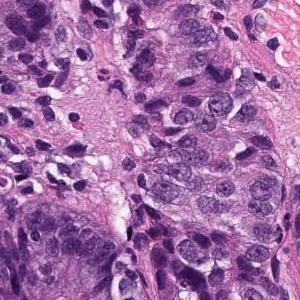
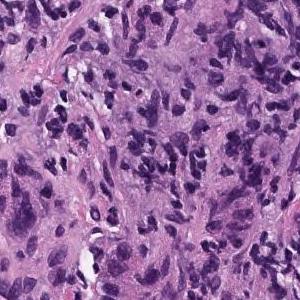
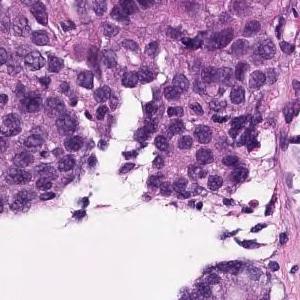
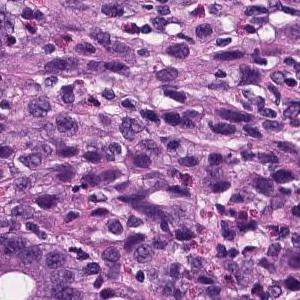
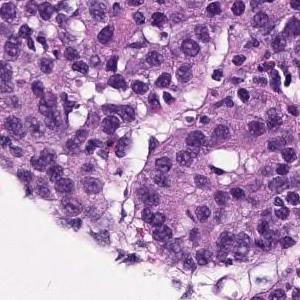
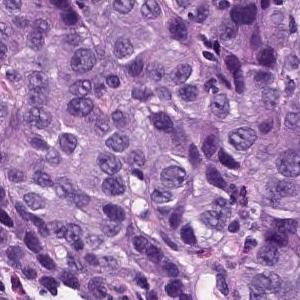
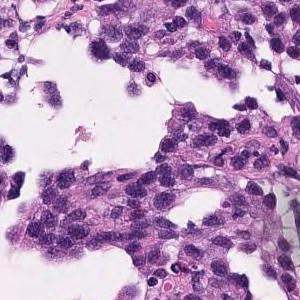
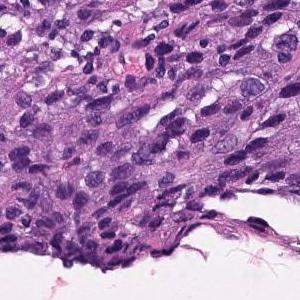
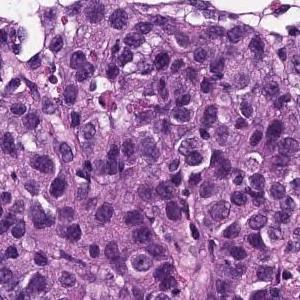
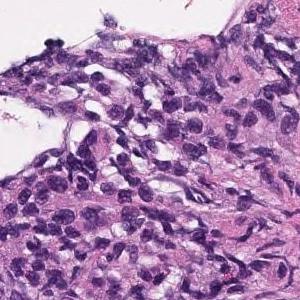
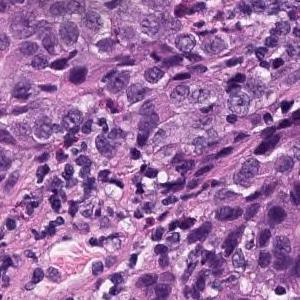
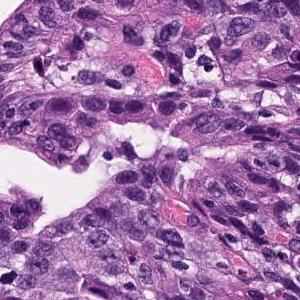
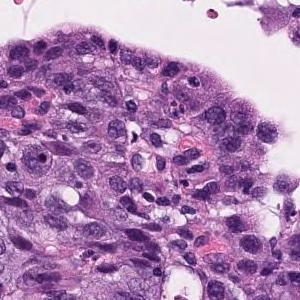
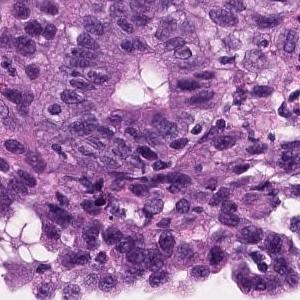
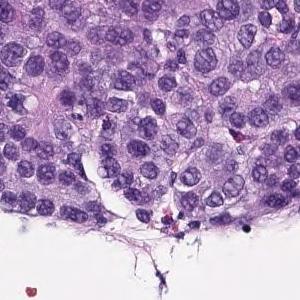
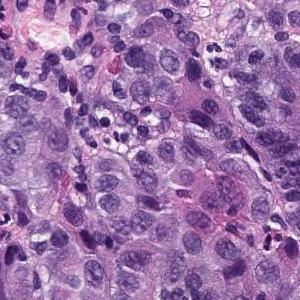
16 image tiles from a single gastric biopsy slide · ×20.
Report on the slide these tiles come from. The report and the diagnosis cover the entire slide, so not every feature they name need be visible here, and some tissue shown may not be tumor.
In the superficial epithelium, tumor tissue that invades by forming medium-sized to small, irregular ducts is observed. Moderately differentiated adenocarcinoma.
Classified as moderately differentiated tubular adenocarcinoma.
